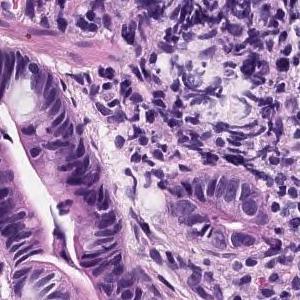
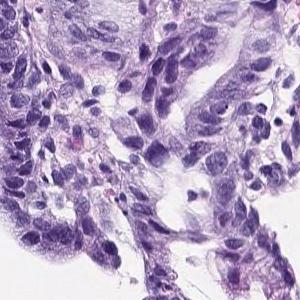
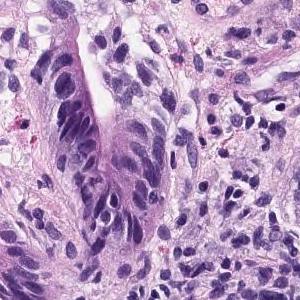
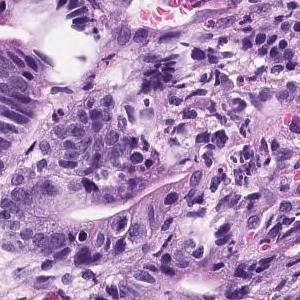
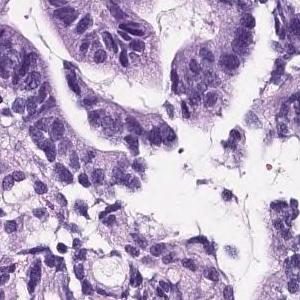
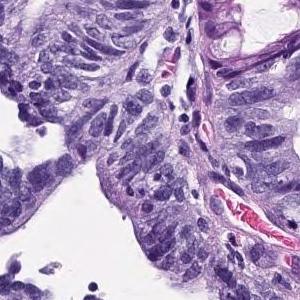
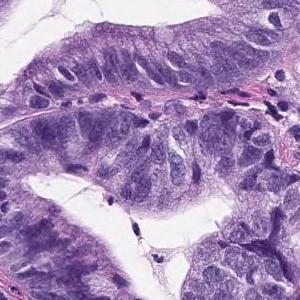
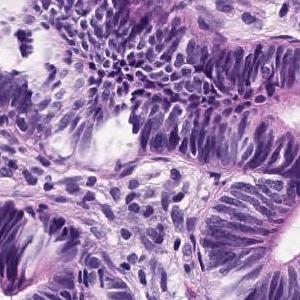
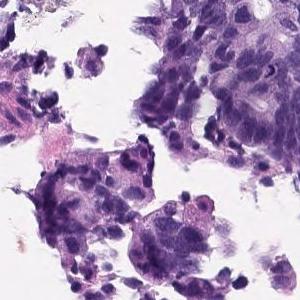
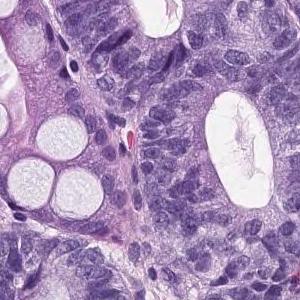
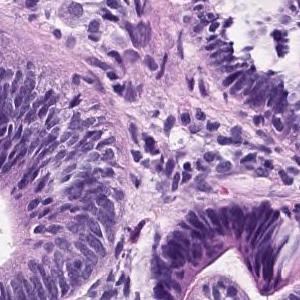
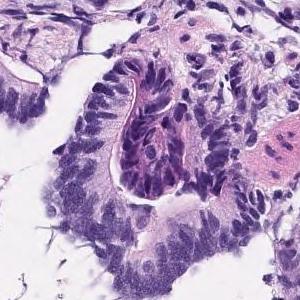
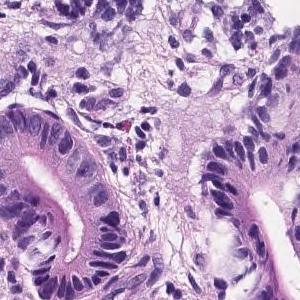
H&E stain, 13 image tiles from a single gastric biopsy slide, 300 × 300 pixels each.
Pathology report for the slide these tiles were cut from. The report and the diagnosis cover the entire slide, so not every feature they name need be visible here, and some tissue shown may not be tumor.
On the superficial epithelium, tumor tissue consisting of medium-sized to large-sized, round or irregular glandular duct growth images is observed. Well differentiated adenocarcinoma.
Tumor subtype: well differentiated tubular adenocarcinoma.
